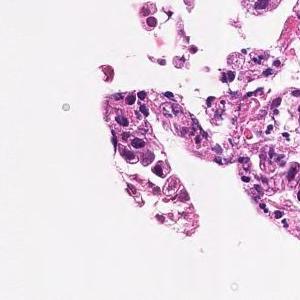
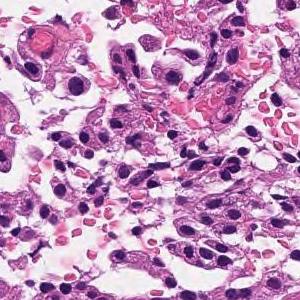
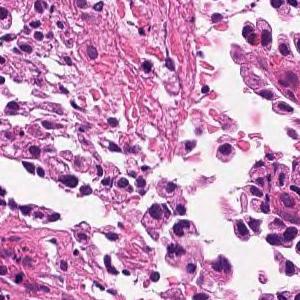
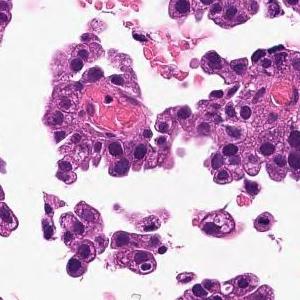
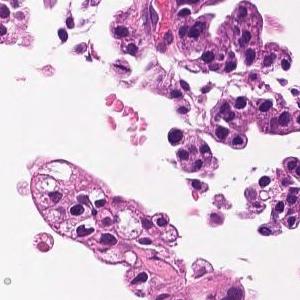
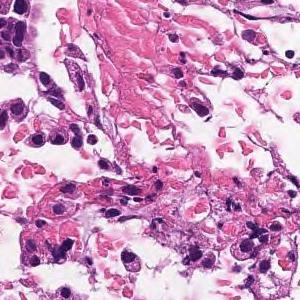
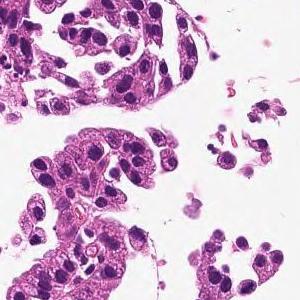
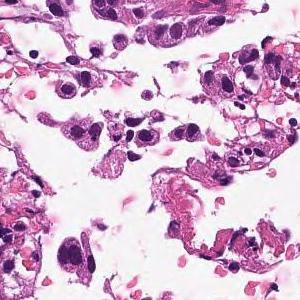
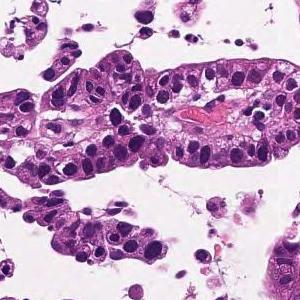
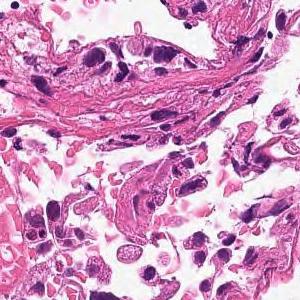
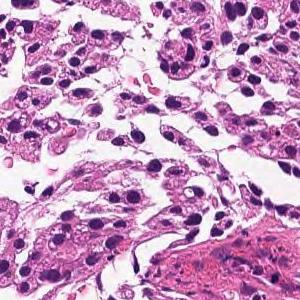
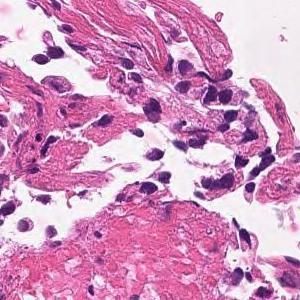
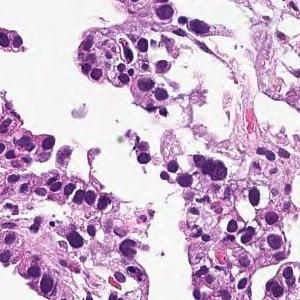
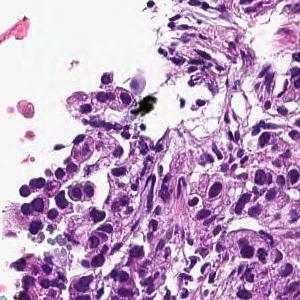
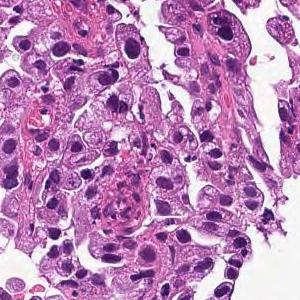
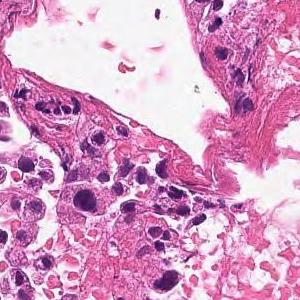
16 tiles cut from one stomach biopsy slide, each 300 × 300 pixels, H&E stain, 20× magnification.
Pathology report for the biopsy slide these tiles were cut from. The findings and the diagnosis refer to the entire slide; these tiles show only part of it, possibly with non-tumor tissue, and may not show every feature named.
In the superficial epithelium, tumor tissue that invades by forming medium-sized to small, irregular ducts is observed. moderately differentiated tubular adenocarcinoma.
